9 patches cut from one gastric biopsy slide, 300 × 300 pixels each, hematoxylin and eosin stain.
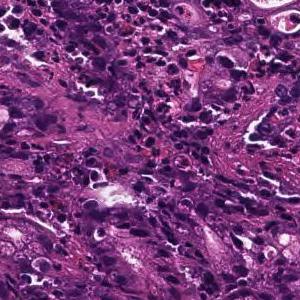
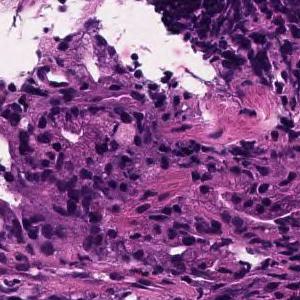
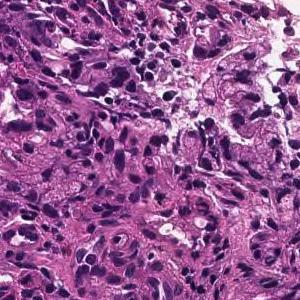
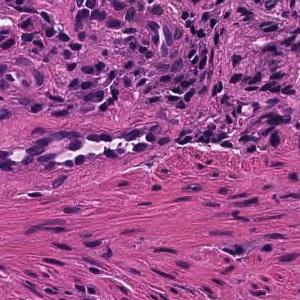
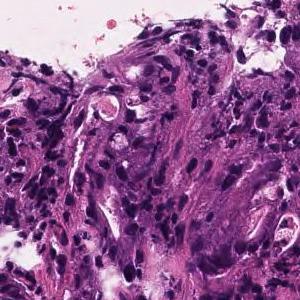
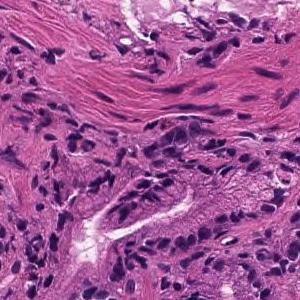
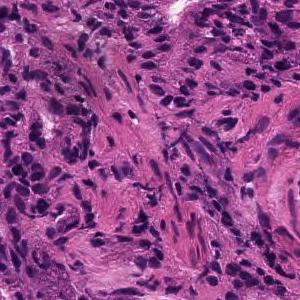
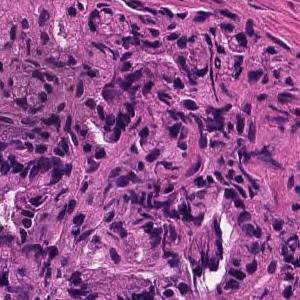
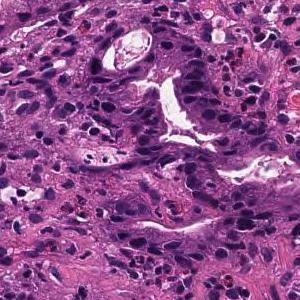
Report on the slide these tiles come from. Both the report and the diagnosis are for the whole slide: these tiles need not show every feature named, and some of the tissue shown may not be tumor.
In the superficial epithelium, tumor tissue that invades by forming medium-sized to small, irregular ducts is observed. moderately differentiated tubular adenocarcinoma.
